14 tiles from the same stomach biopsy slide · 300 × 300 pixels each.
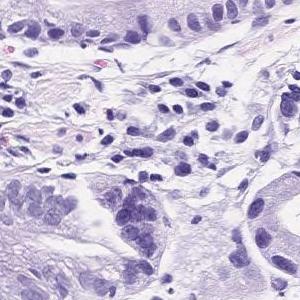
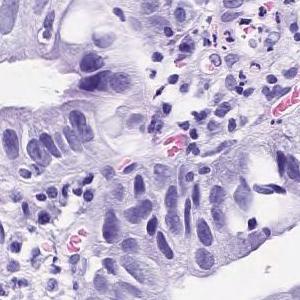
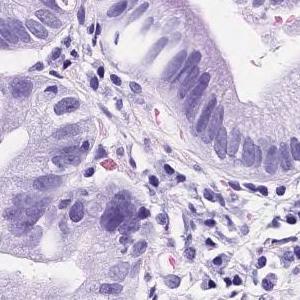
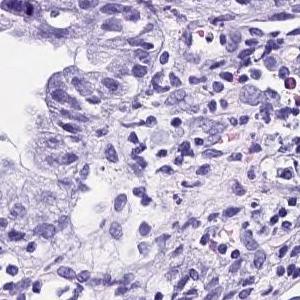
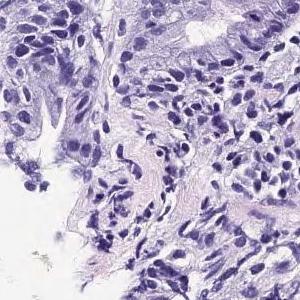
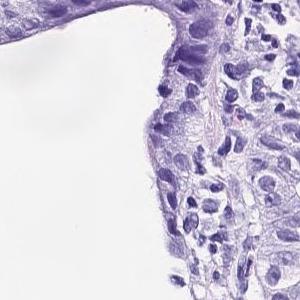
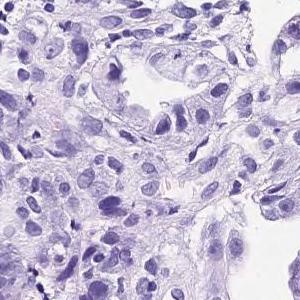
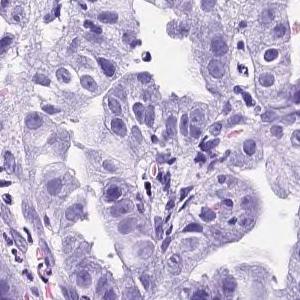
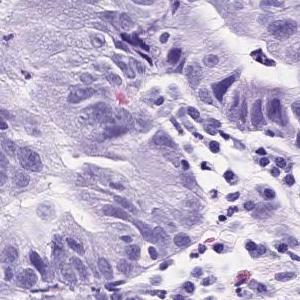
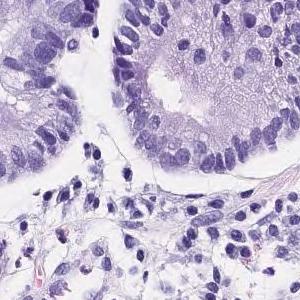
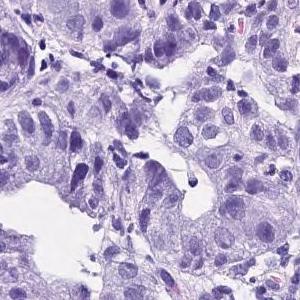
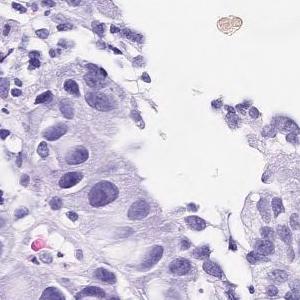
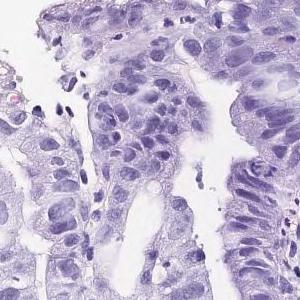
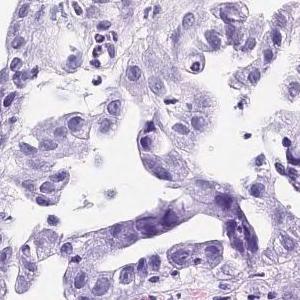
The pathologist's report on the biopsy slide these tiles were taken from. The findings and the diagnosis refer to the entire slide; these tiles show only part of it, possibly with non-tumor tissue, and may not show every feature named.
Tumor tissue consisting of medium-sized and irregular ducts is observed infiltrating in the superficial epithelium. Tumor cells are highly columnar, with nuclei aligned basolaterally and polarized. Well differentiated tubular adenocarcinoma.
